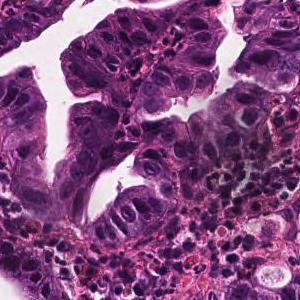
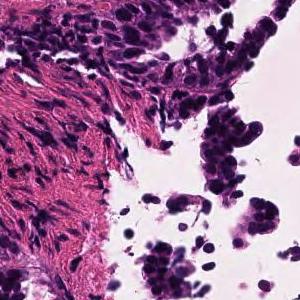
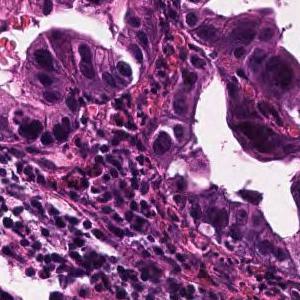
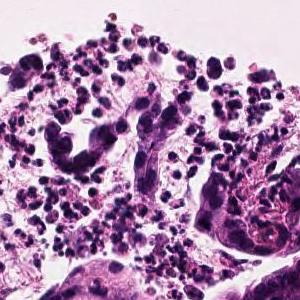
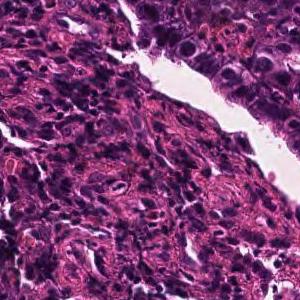
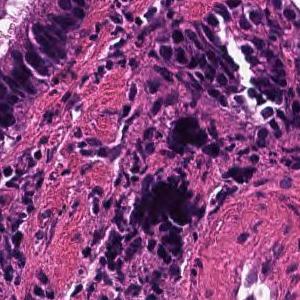
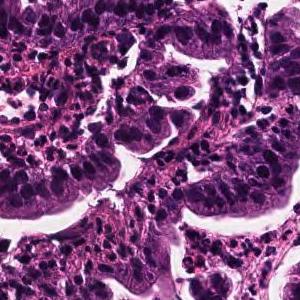
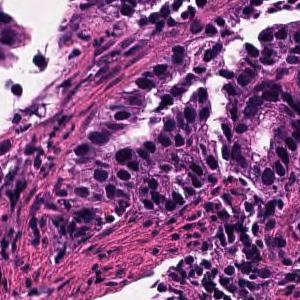
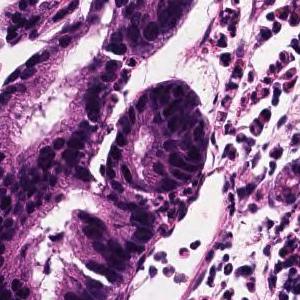
9 tiles cut from one stomach biopsy slide; 300 × 300 pixels each; hematoxylin and eosin stain; scanned at ×20.
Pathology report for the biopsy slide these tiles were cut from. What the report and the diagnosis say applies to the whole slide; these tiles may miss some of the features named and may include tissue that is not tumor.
Tumor tissue consisting of large papillary structures is found in the superficial epithelium. Papillary adenocarcinoma.
